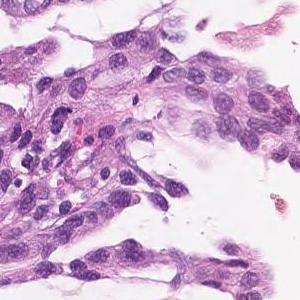
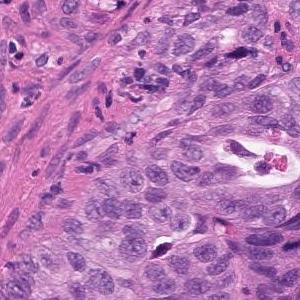
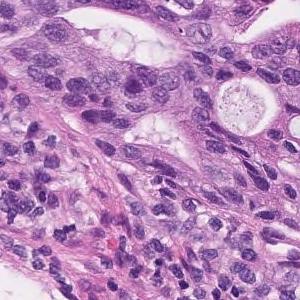
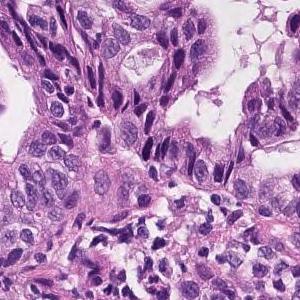
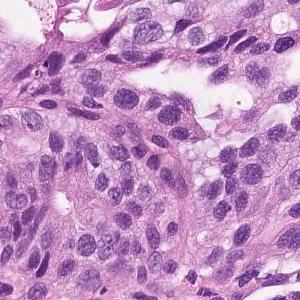
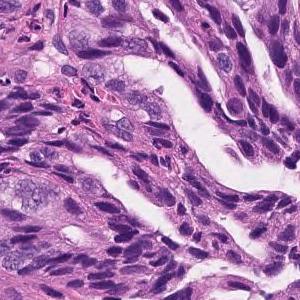
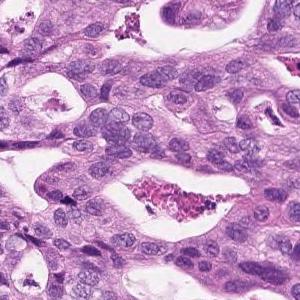
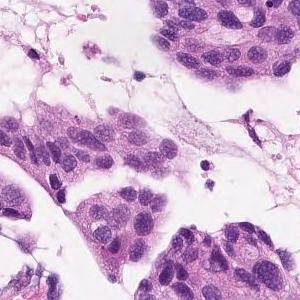
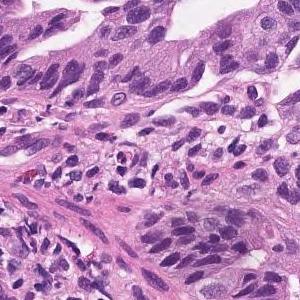
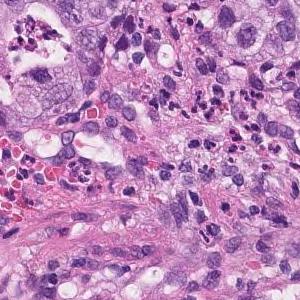
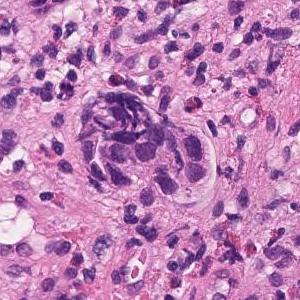
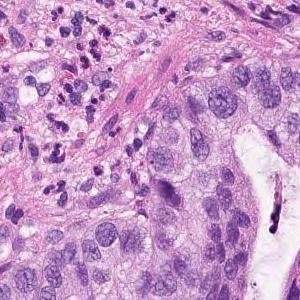
12 tiles cut from one stomach biopsy slide; 300×300 px each; H&E stain; 20× magnification.
Report on the slide these tiles come from. The findings and the diagnosis refer to the entire slide; these tiles show only part of it, possibly with non-tumor tissue, and may not show every feature named.
Atypical epithelium forming papillary or sieving ducts and infiltrating growth is observed. Papillary adenocarcinoma.
